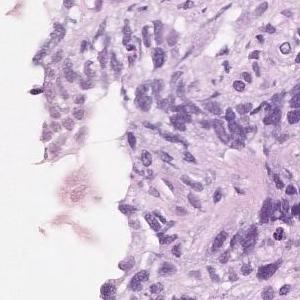
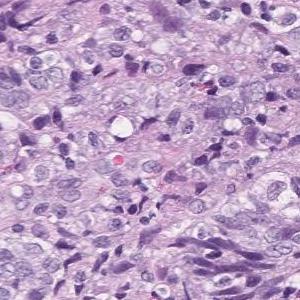
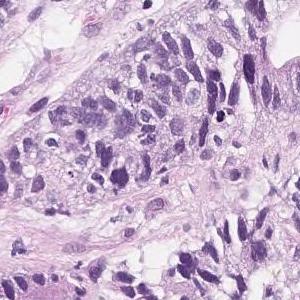
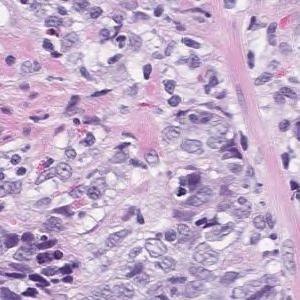
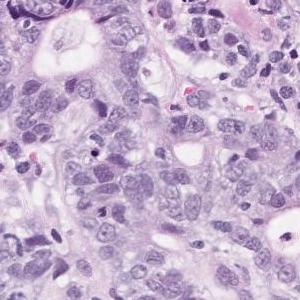
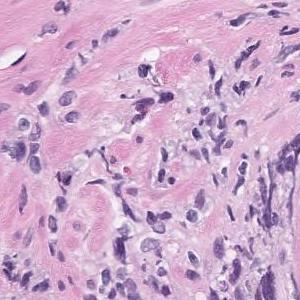
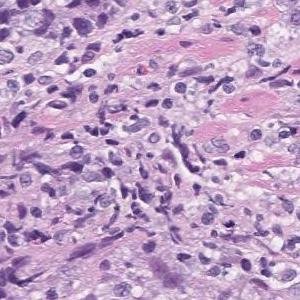
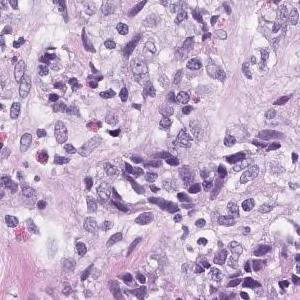
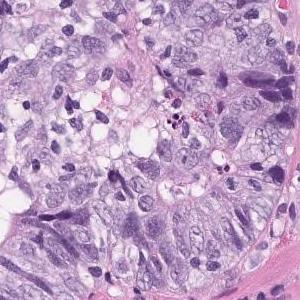
9 tiles cut from one stomach biopsy slide; 300 × 300 pixels each; hematoxylin and eosin stain.
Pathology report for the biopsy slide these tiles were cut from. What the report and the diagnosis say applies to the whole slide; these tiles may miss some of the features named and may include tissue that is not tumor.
Highly columnar epithelium with disordered nuclear localization proliferates showing fusion ductal construction. moderately differentiated tubular adenocarcinoma
